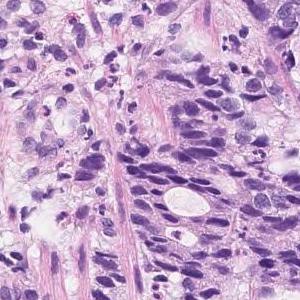
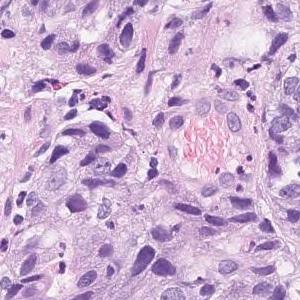
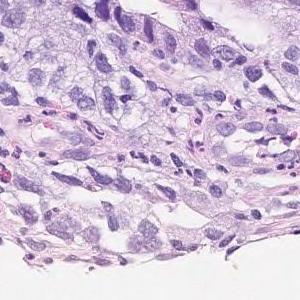
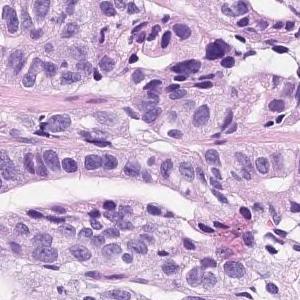
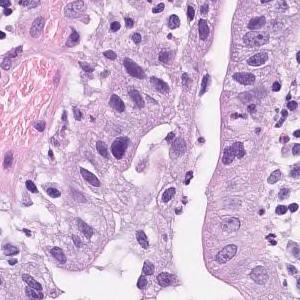
H&E stain; 5 image tiles from a single gastric biopsy slide; 300 × 300 pixels each.
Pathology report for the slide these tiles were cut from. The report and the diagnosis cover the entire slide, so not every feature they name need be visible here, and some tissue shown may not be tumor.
In the superficial epithelium, tumor tissue that invades by forming medium-sized to small, irregular ducts is observed. Moderately to poorly differentiated adenocarcinoma
